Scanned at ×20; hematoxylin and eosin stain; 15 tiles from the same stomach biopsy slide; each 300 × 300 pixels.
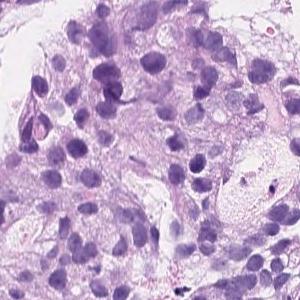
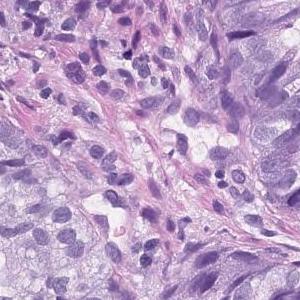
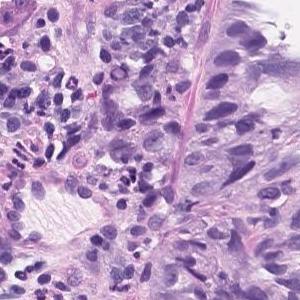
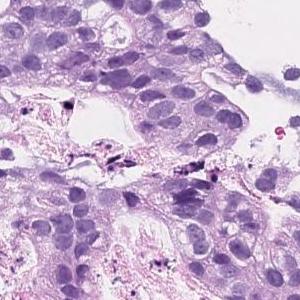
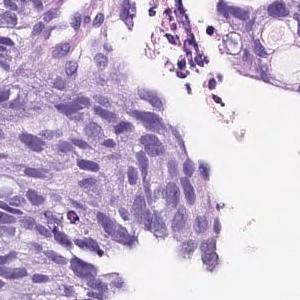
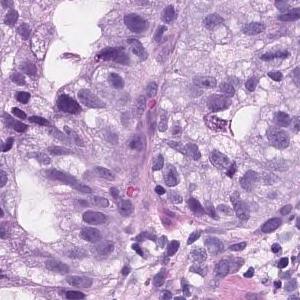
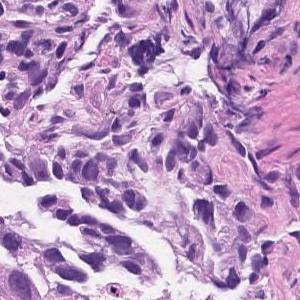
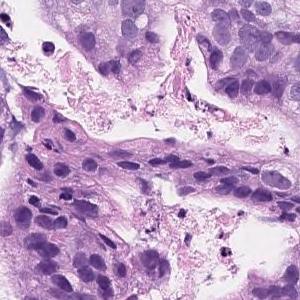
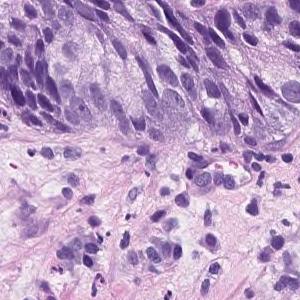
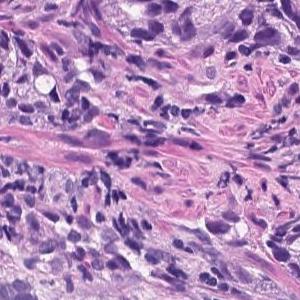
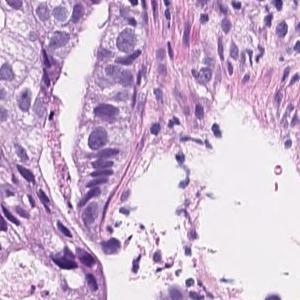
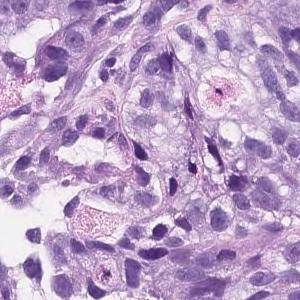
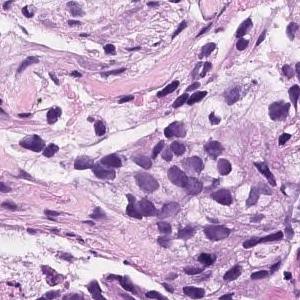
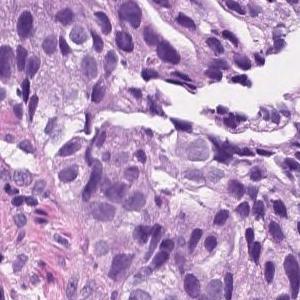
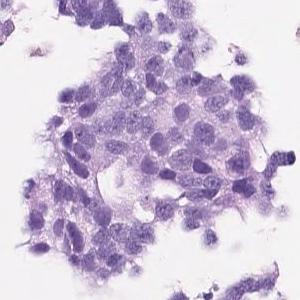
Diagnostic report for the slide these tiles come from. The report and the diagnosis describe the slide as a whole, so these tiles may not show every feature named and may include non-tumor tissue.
On the superficial epithelium, tumor tissue consisting of an image of large, irregular glandular ducts partially fused and infiltrated is observed. Well to moderately differentiated tubular adenocarcinoma
